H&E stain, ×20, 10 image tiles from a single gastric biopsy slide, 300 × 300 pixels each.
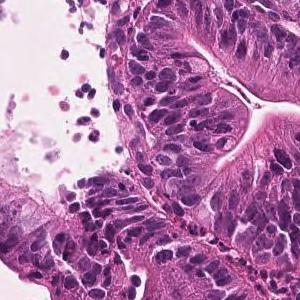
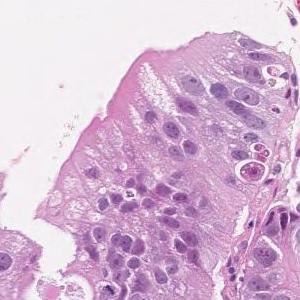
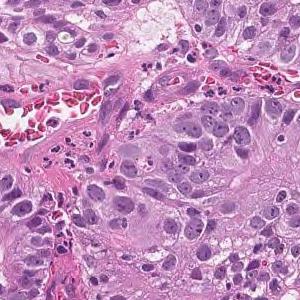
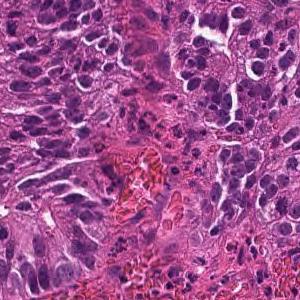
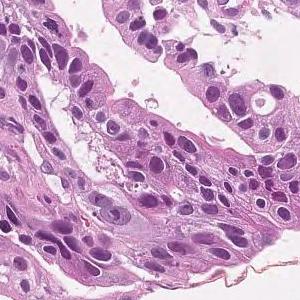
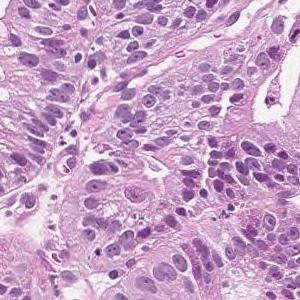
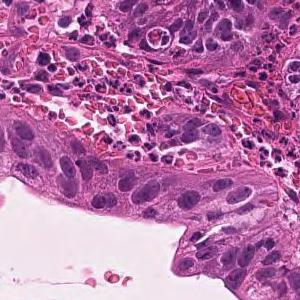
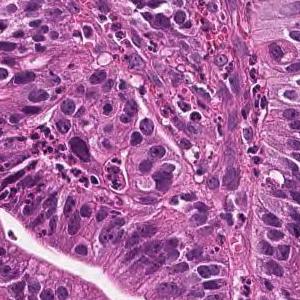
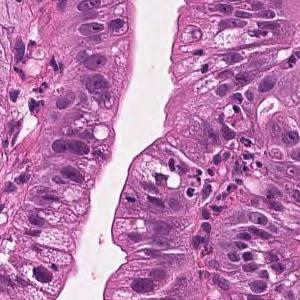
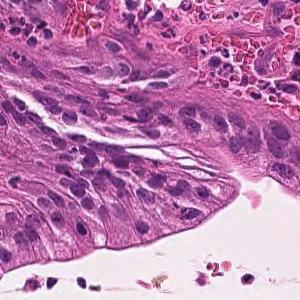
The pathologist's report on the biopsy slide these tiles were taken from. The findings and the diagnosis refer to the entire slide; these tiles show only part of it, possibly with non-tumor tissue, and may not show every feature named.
Tumor cells are large, highly columnar, large club-shaped nuclei, and are associated with chromatin aggregation. Papillary adenocarcinoma.
